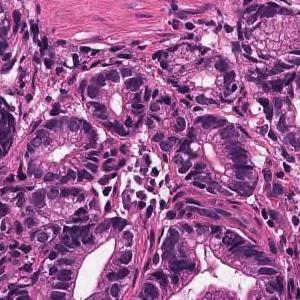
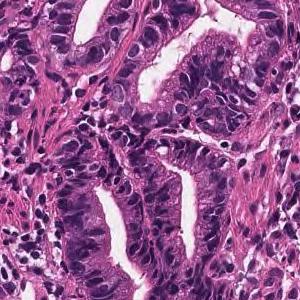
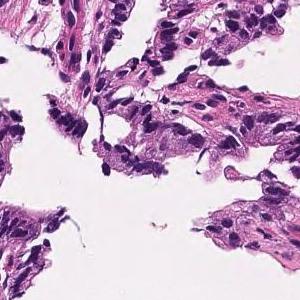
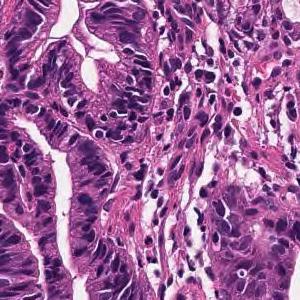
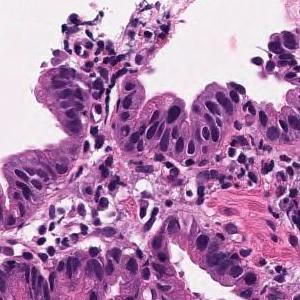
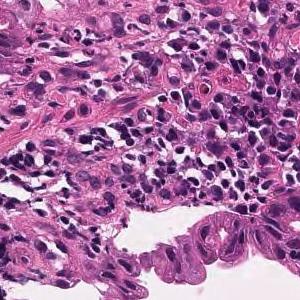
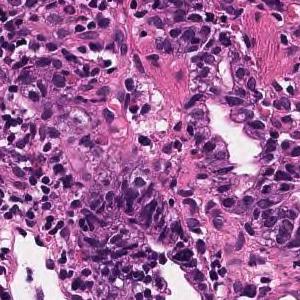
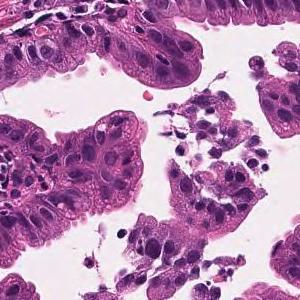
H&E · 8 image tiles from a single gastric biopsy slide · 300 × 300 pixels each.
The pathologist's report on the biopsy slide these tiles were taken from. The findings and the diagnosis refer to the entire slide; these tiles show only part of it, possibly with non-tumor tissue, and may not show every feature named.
Tumor tissue in which medium to small irregular ducts infiltrate and proliferate in the submucosa can be seen in the epithelium. Well differentiated tubular adenocarcinoma
